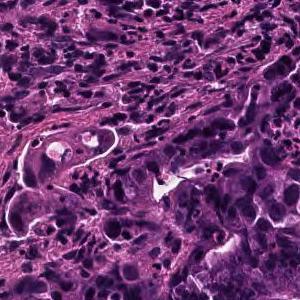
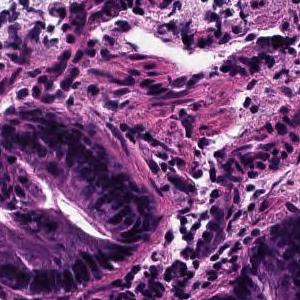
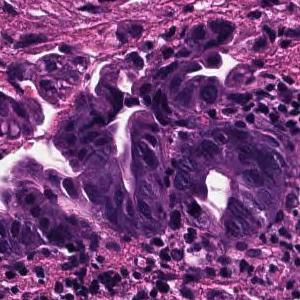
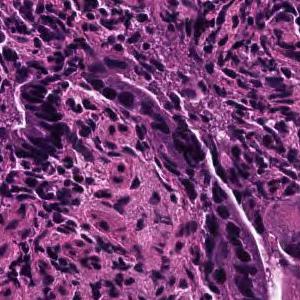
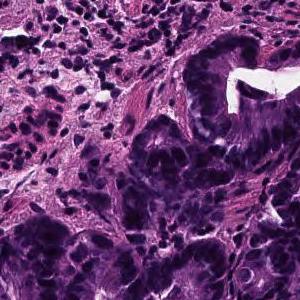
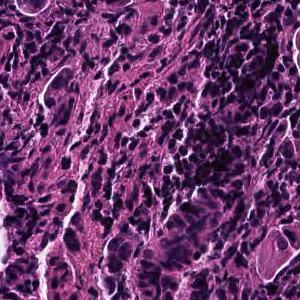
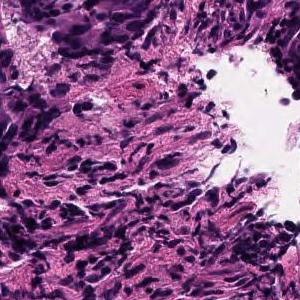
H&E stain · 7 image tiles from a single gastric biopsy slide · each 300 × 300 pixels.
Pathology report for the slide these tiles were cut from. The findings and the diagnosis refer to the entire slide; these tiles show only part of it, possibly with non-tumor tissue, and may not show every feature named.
On the superficial epithelium, tumor tissue consisting of large, irregular glandular ducts partially fused and infiltrated is observed. Well to moderately differentiated tubular adenocarcinoma (well differentiated tubular adenocarcinoma, moderately differentiated tubular adenocarcinoma)
Classified as well to moderately differentiated tubular adenocarcinoma.
